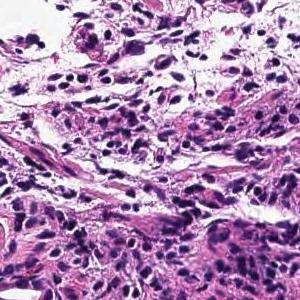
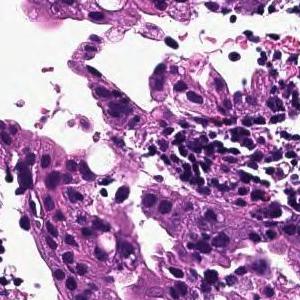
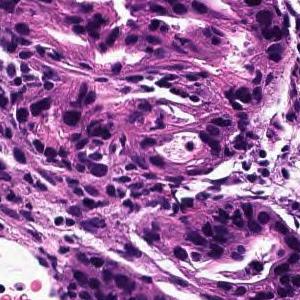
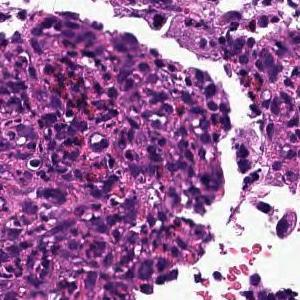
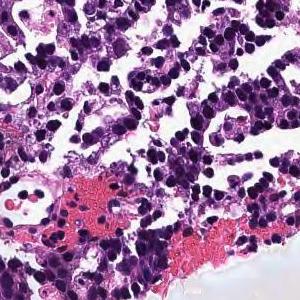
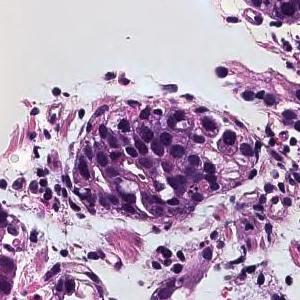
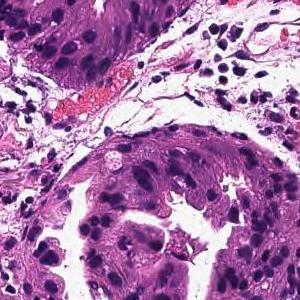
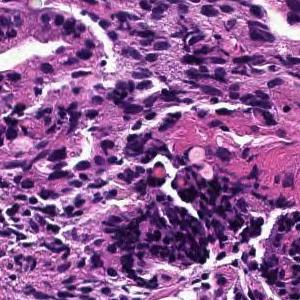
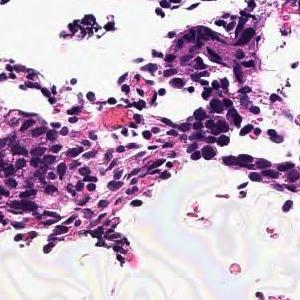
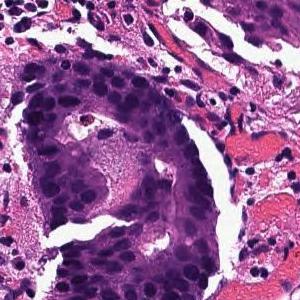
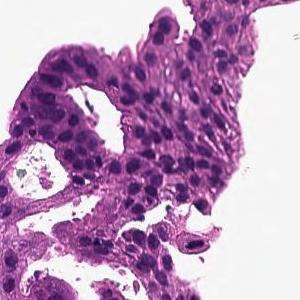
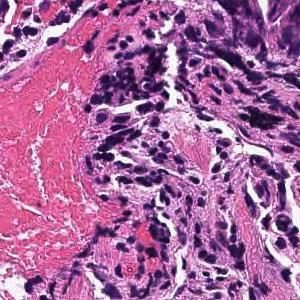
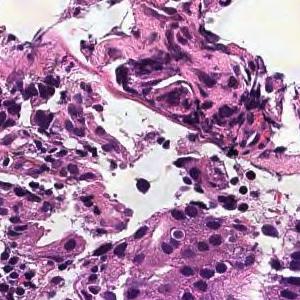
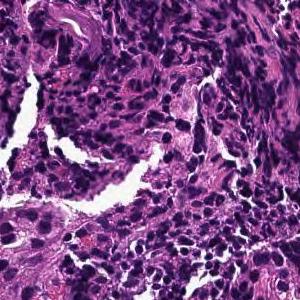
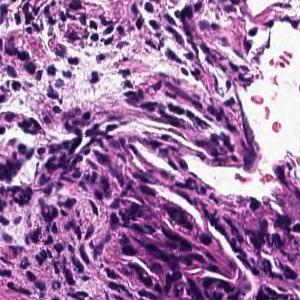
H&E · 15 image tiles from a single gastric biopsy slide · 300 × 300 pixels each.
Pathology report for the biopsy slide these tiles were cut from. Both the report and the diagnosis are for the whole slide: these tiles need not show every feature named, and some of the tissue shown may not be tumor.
In the superficial epithelium, tumor tissue that invades by forming medium-sized to small, irregular ducts is observed. moderately differentiated tubular adenocarcinoma.
